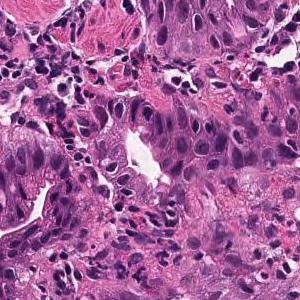
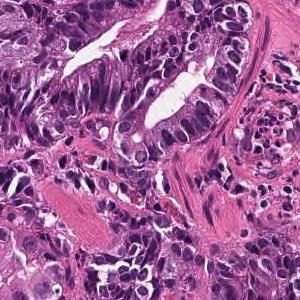
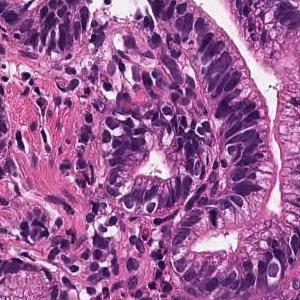
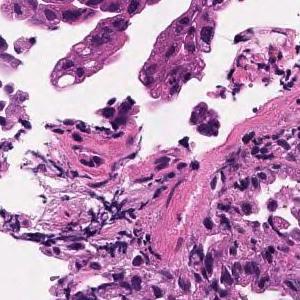
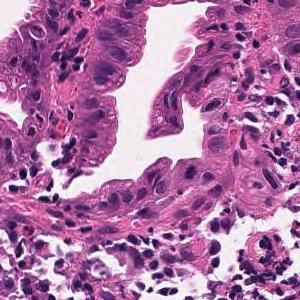
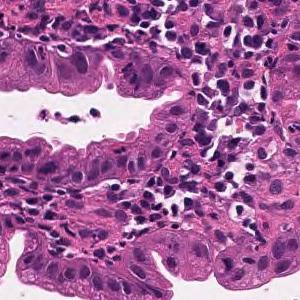
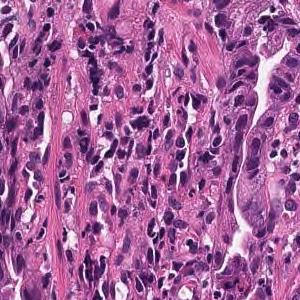
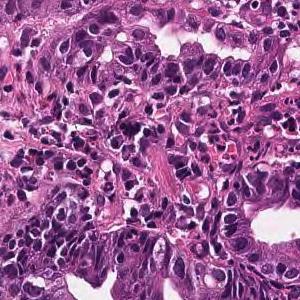
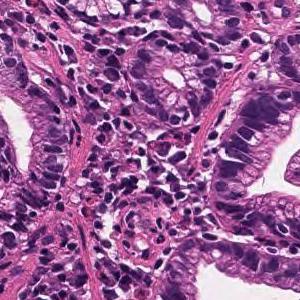
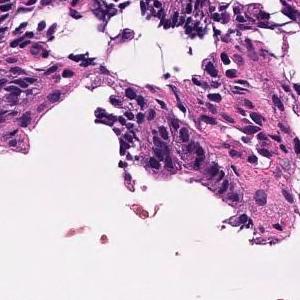
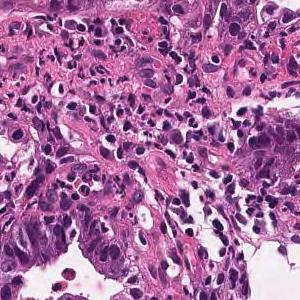
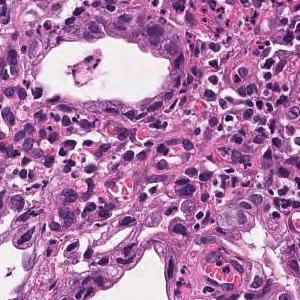
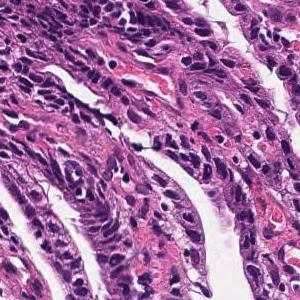
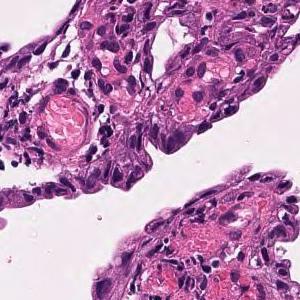
14 image tiles from a single gastric biopsy slide, H&E, 20× magnification.
The pathologist's report on the biopsy slide these tiles were taken from. Both the report and the diagnosis are for the whole slide: these tiles need not show every feature named, and some of the tissue shown may not be tumor.
Tumor tissue in which medium to small irregular ducts infiltrate and proliferate in the submucosa can be seen in the epithelium. Well differentiated tubular adenocarcinoma
